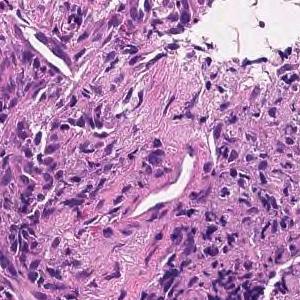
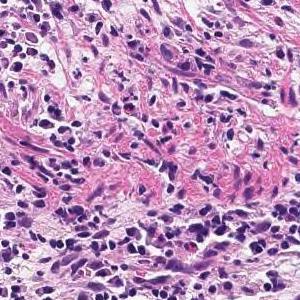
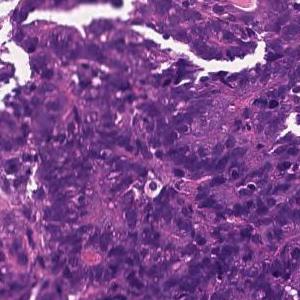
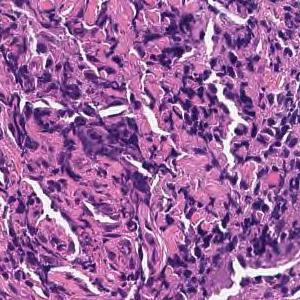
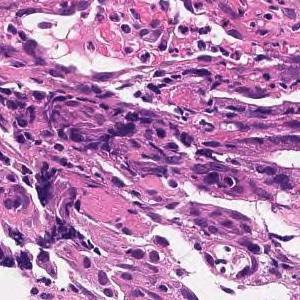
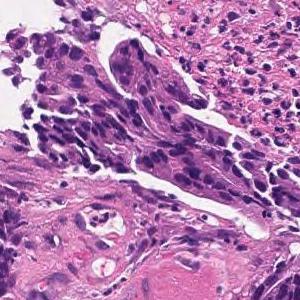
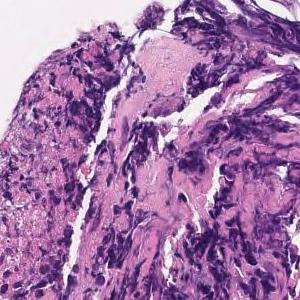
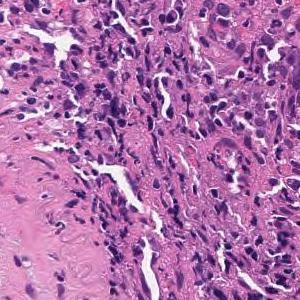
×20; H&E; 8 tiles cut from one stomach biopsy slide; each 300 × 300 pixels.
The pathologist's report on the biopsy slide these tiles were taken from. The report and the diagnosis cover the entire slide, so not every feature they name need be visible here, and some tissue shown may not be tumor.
Tumor tissue consisting of medium-sized, cord-like or irregular glandular infiltration is observed in the superficial epithelium. Poorly differentiated adenocarcinoma, non-solid type or moderately differentiated tubular adenocarcinoma
Histologic type: Moderately to poorly differentiated adenocarcinoma.
The term "non-solid type" comes from the Japanese Classification of Gastric Carcinoma.
